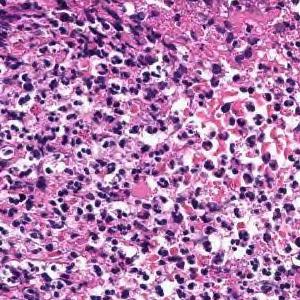
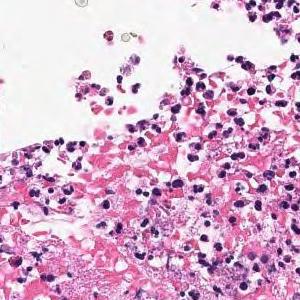
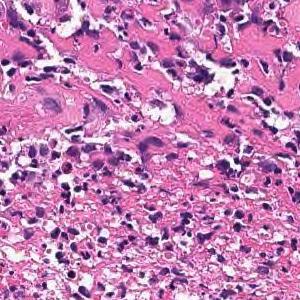
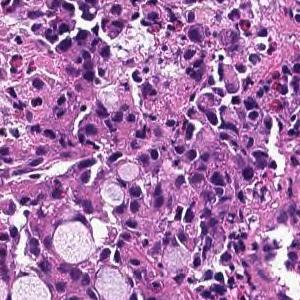
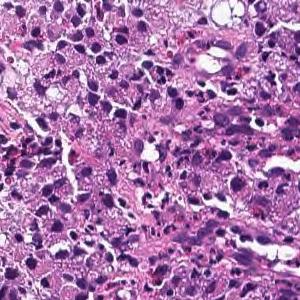
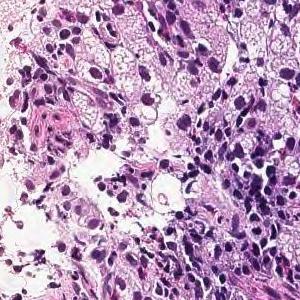
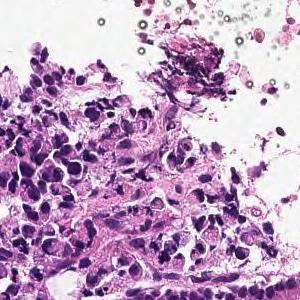
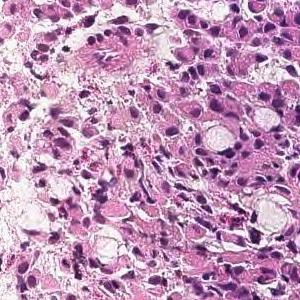
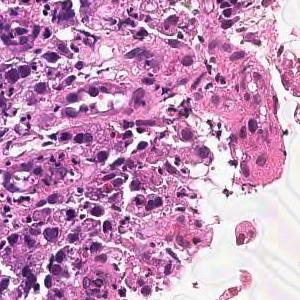
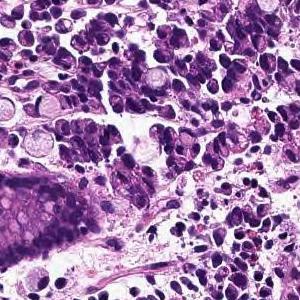
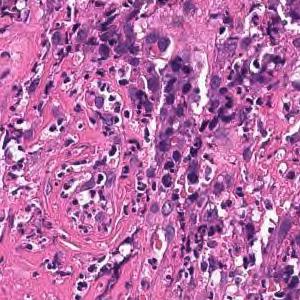
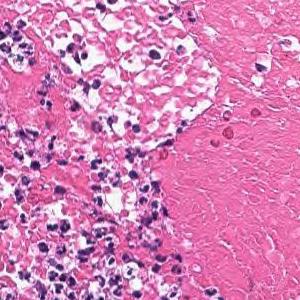
12 image tiles from a single gastric biopsy slide · 300 × 300 pixels each · H&E stain · 20× magnification.
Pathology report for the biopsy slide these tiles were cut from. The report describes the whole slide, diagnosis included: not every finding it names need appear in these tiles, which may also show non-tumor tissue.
Tumor tissue consisting of diffusely infiltrated large atypical epithelial cells or signet ring atypical cells is observed in the superficial epithelium. Poorly differentiated adenocarcinoma, solid-type
Subtype: Poorly differentiated adenocarcinoma, solid type (Japanese Classification of Gastric Carcinoma). The WHO 2019 equivalent is tubular adenocarcinoma, poorly differentiated.
